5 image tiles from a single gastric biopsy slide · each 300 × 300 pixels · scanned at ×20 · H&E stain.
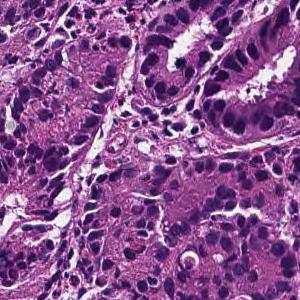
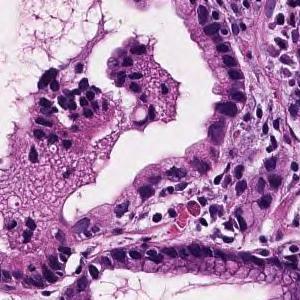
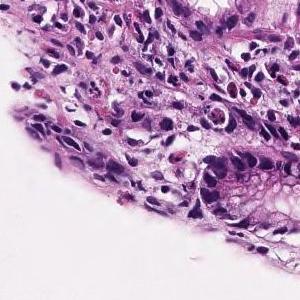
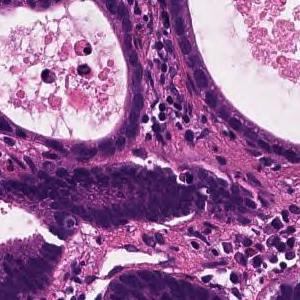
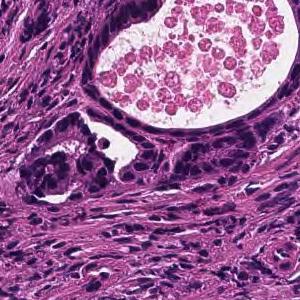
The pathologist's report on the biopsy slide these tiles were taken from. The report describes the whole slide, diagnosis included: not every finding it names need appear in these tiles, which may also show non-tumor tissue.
On the superficial epithelium, tumor tissue consisting of medium-sized and irregular glandular ducts partially fused and infiltrated is observed. Well to moderately differentiated tubular adenocarcinoma (well differentiated tubular adenocarcinoma-moderately differentiated tubular adenocarcinoma)
Histological subtype: Well to moderately differentiated tubular adenocarcinoma.
